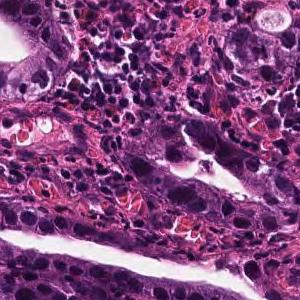
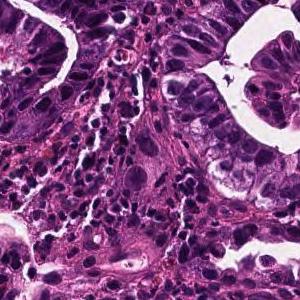
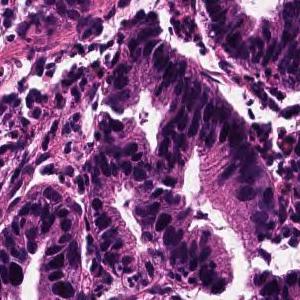
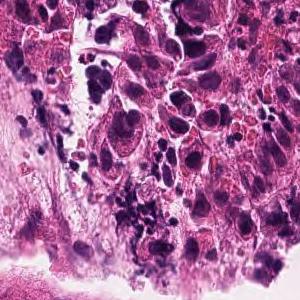
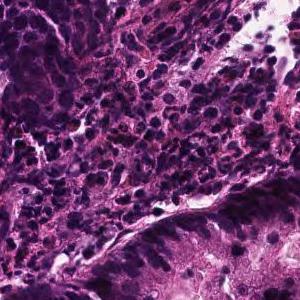
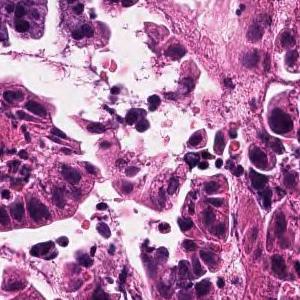
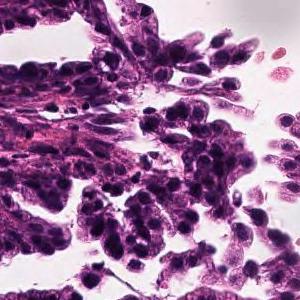
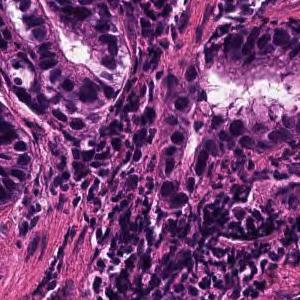
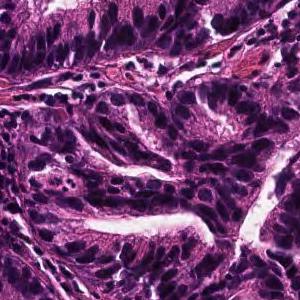
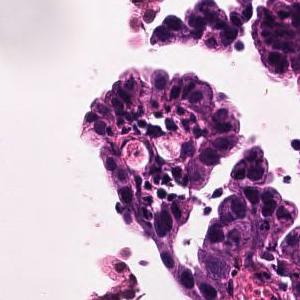
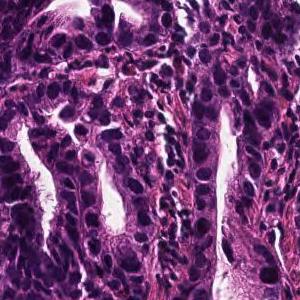
11 patches cut from one gastric biopsy slide · 300×300 px each · H&E.
Report on the slide these tiles come from. The findings and the diagnosis refer to the entire slide; these tiles show only part of it, possibly with non-tumor tissue, and may not show every feature named.
Tumor tissue consisting of large papillary structures is found in the superficial epithelium. Papillary adenocarcinoma.
